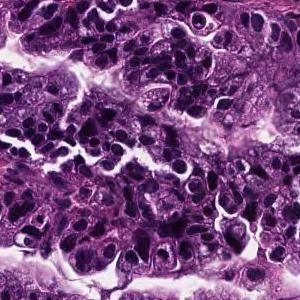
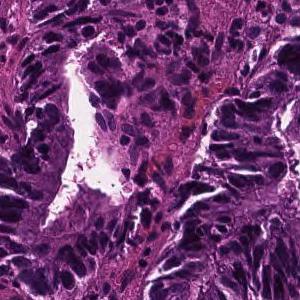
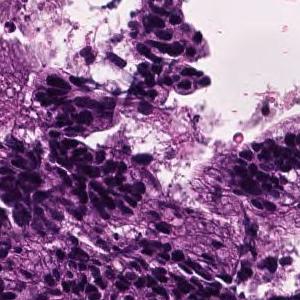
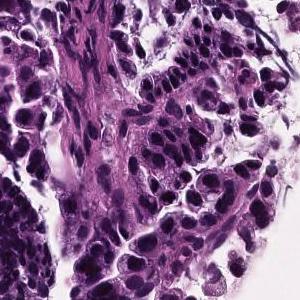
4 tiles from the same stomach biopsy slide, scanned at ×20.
The pathologist's report on the biopsy slide these tiles were taken from. What the report and the diagnosis say applies to the whole slide; these tiles may miss some of the features named and may include tissue that is not tumor.
In the superficial epithelium, tumor tissue that invades by forming medium-sized to small, irregular ducts is observed. Well differentiated tubular adenocarcinoma.
